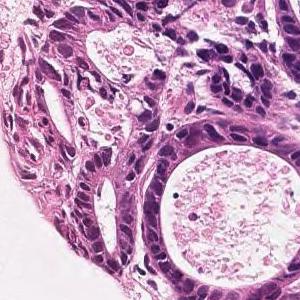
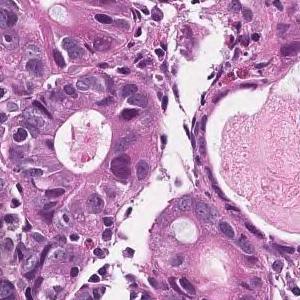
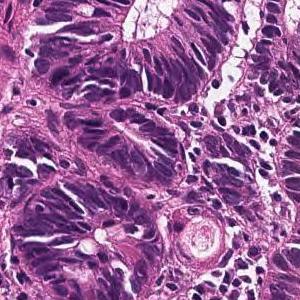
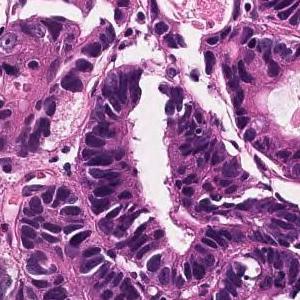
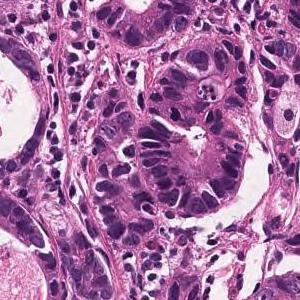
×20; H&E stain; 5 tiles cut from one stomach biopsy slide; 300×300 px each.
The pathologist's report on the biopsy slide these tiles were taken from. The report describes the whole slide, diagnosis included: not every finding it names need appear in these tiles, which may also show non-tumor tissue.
In the superficial epithelium, tumor tissue that invades by forming medium-sized to small, irregular ducts is observed. Well differentiated tubular adenocarcinoma.
